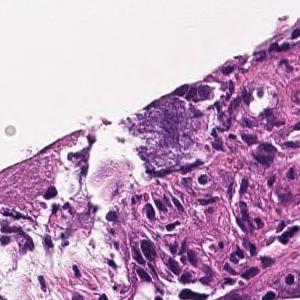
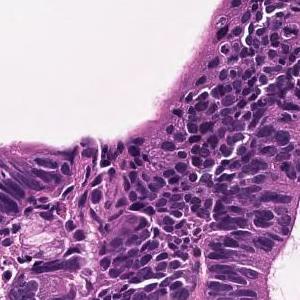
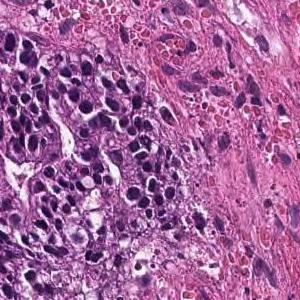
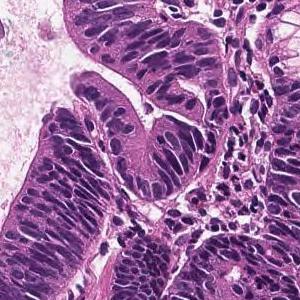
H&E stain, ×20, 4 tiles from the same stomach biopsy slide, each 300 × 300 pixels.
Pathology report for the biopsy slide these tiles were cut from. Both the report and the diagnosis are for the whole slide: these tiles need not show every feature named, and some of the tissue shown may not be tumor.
In the superficial epithelium, tumor tissue that invades by forming medium-sized to small, irregular ducts is observed. Well differentiated tubular adenocarcinoma.
